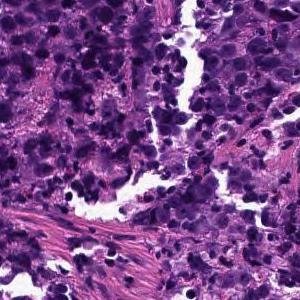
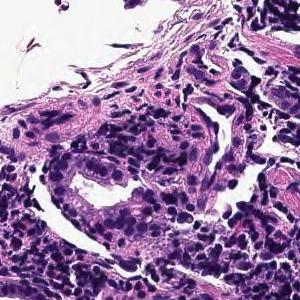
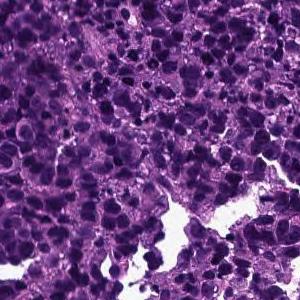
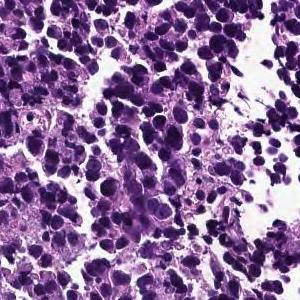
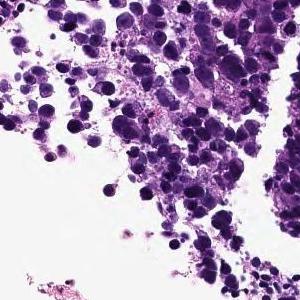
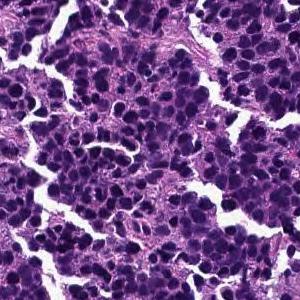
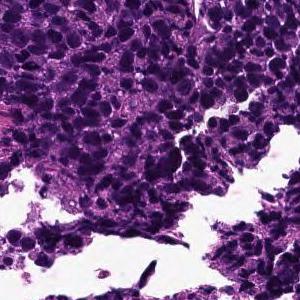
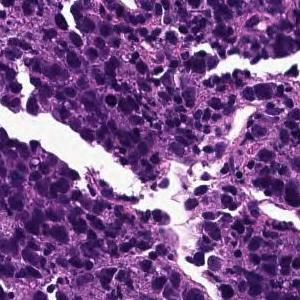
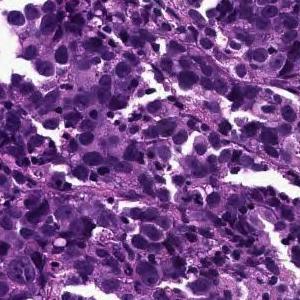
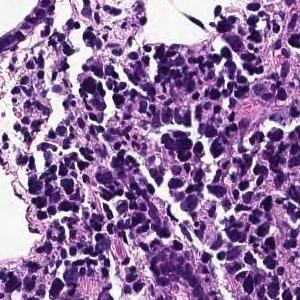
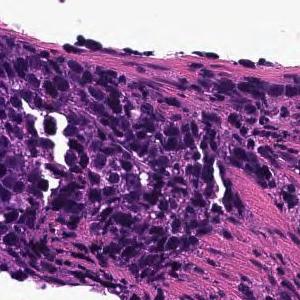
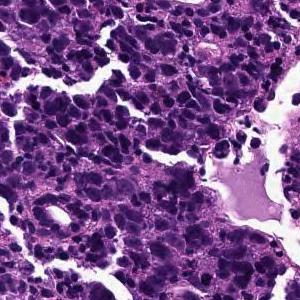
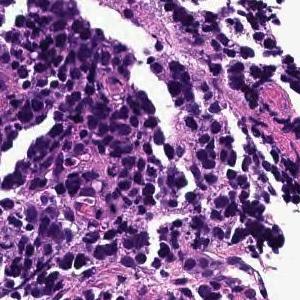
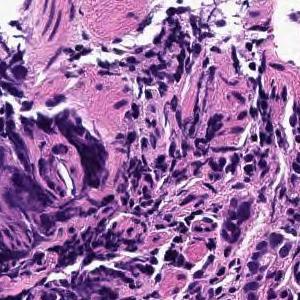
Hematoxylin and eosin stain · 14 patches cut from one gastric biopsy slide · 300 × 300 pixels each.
The pathologist's report on the biopsy slide these tiles were taken from. The report describes the whole slide, diagnosis included: not every finding it names need appear in these tiles, which may also show non-tumor tissue.
The superficial epithelium shows large alveolar or sheet-like forms, and some tumor tissue infiltrates with small irregular ducts. Poorly differentiated adenocarcinoma, solid-type
Histologic type: Poorly differentiated adenocarcinoma, solid type, a category of the Japanese Classification of Gastric Carcinoma; in the WHO 2019 classification it is tubular adenocarcinoma, poorly differentiated.
